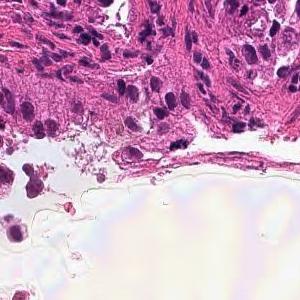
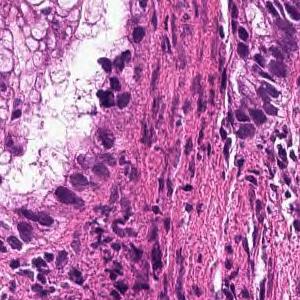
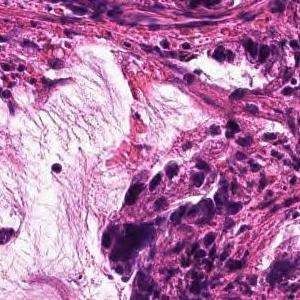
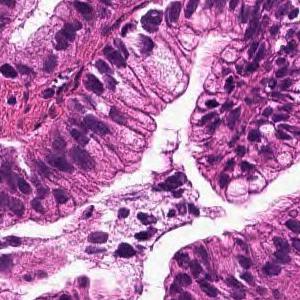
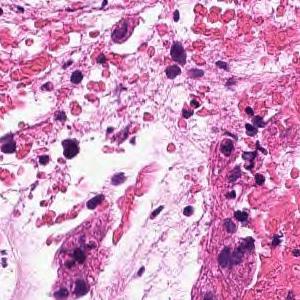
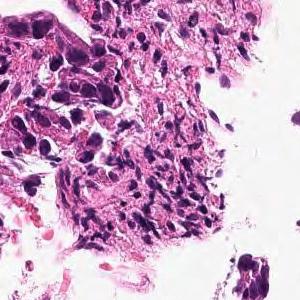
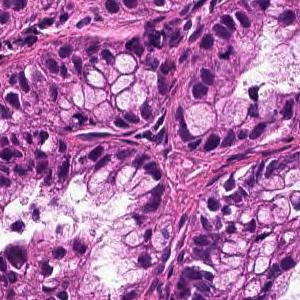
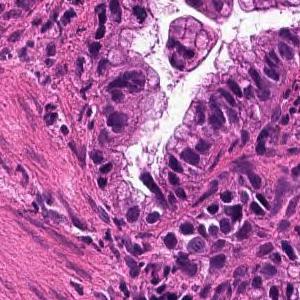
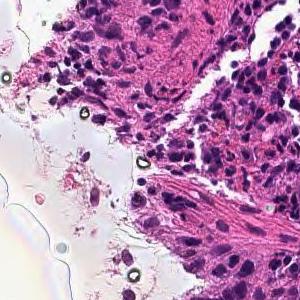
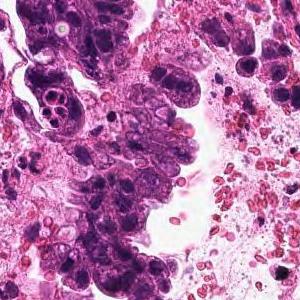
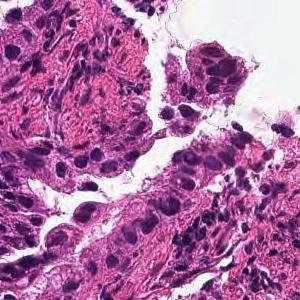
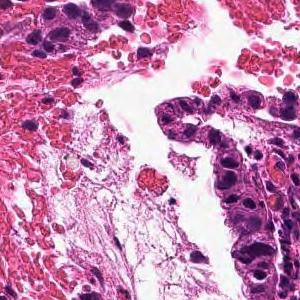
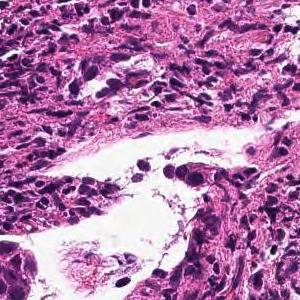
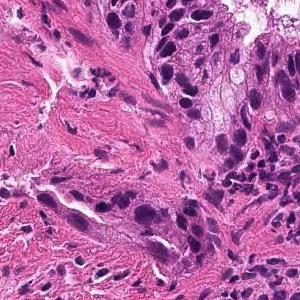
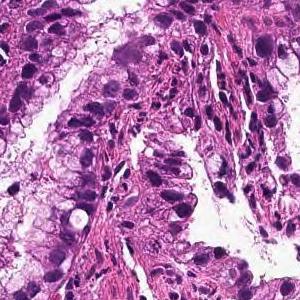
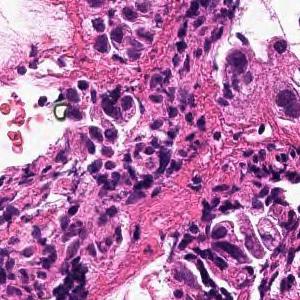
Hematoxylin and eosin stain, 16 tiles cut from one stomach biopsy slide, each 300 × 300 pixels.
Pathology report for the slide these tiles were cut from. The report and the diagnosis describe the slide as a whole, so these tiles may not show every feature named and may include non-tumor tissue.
From the superficial epithelium to the muscularis mucosae, tumor tissue infiltrating by forming medium-sized irregular gland ducts is observed. Well differentiated tubular adenocarcinoma
